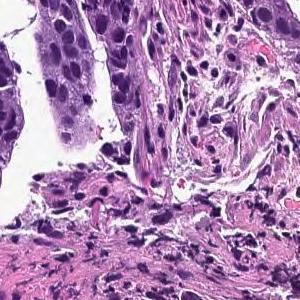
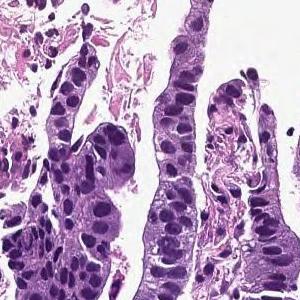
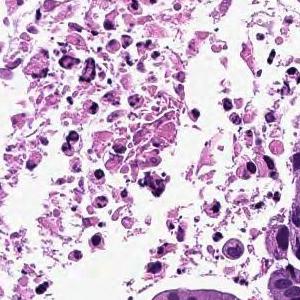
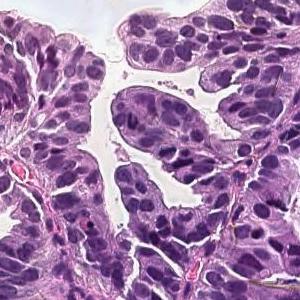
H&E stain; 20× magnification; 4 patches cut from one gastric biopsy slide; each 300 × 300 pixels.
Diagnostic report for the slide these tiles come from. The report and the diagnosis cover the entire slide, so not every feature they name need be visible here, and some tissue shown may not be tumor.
Tumor cells are large, highly columnar, large club-shaped nuclei, and are associated with chromatin aggregation. Papillary adenocarcinoma.
